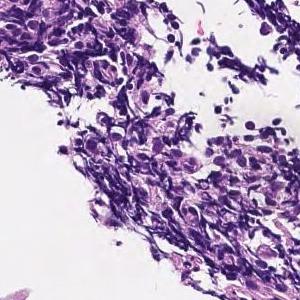
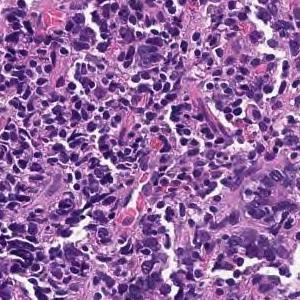
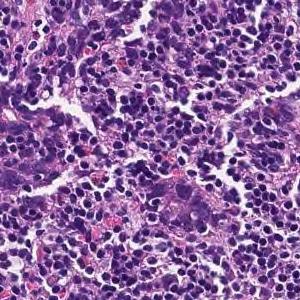
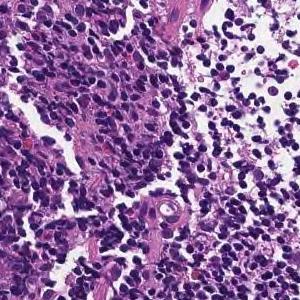
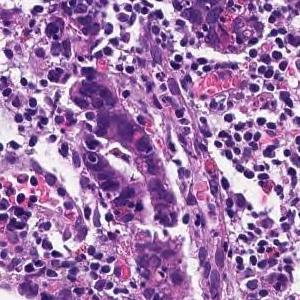
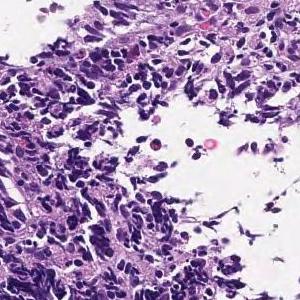
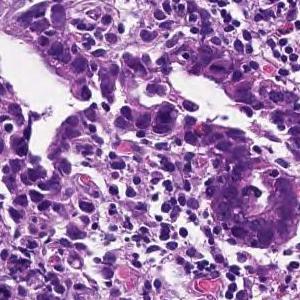
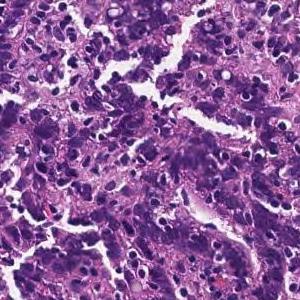
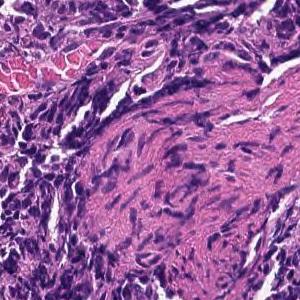
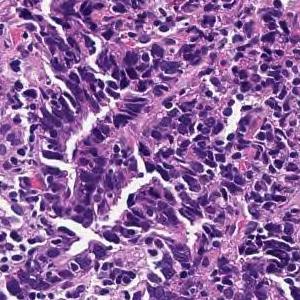
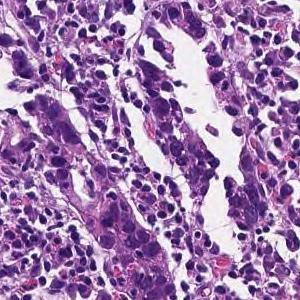
11 tiles from the same stomach biopsy slide · each 300 × 300 pixels · 20× magnification.
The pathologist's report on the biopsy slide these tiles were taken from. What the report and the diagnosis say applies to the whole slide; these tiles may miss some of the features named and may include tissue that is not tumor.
Tumor tissue consisting of medium-sized, cord-like or irregular glandular infiltration is observed in the superficial epithelium. Poorly differentiated adenocarcinoma, non-solid type or moderately differentiated tubular adenocarcinoma
Tumor subtype: moderately to poorly differentiated adenocarcinoma.
"Non-solid type" is a category of the Japanese Classification of Gastric Carcinoma.
